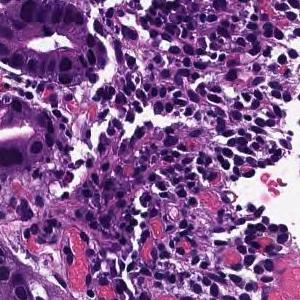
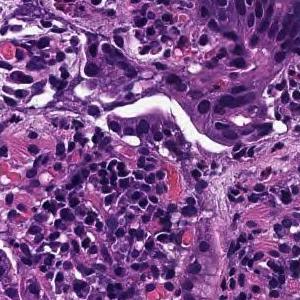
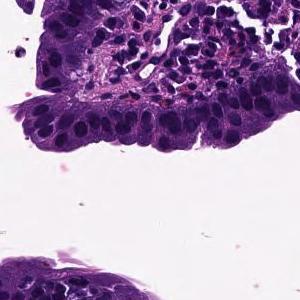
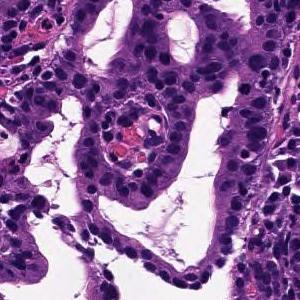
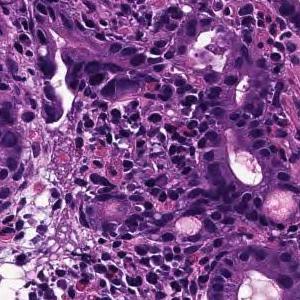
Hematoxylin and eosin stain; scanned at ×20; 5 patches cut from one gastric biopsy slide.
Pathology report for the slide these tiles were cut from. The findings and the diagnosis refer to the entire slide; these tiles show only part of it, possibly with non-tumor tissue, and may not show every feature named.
From the superficial epithelium to the muscularis mucosae, tumor tissue consisting of medium-sized and irregular glandular ducts infiltrating is observed. Well differentiated tubular adenocarcinoma
